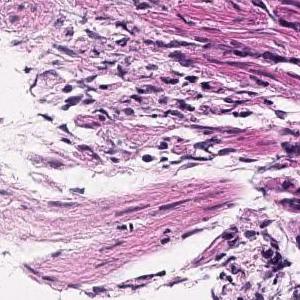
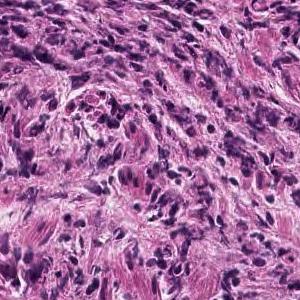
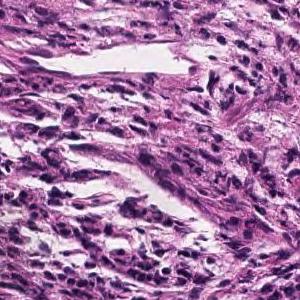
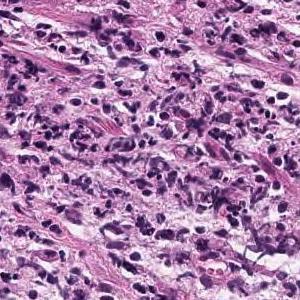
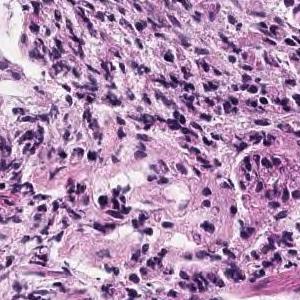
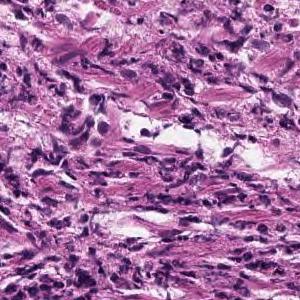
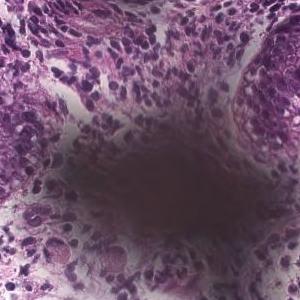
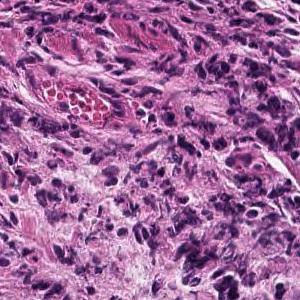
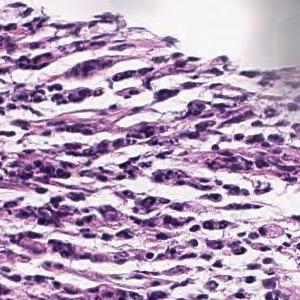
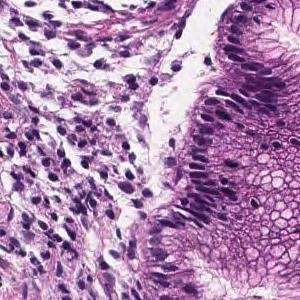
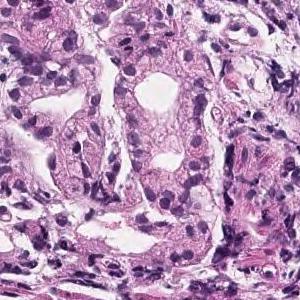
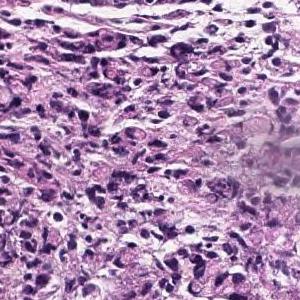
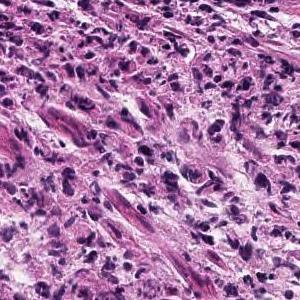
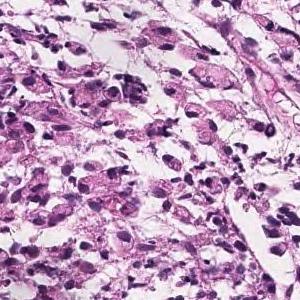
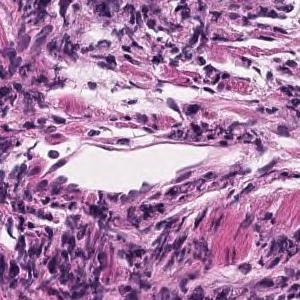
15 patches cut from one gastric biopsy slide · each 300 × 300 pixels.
Report on the slide these tiles come from. The report describes the whole slide, diagnosis included: not every finding it names need appear in these tiles, which may also show non-tumor tissue.
In the lamina propria, a tumor tissue consisting of signet ring cell type atypical epithelial cells infiltrating is observed. Signet ring cell carcinoma.
